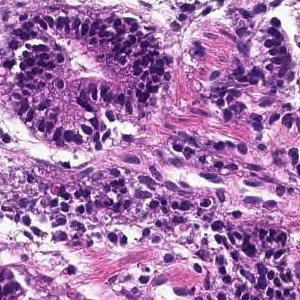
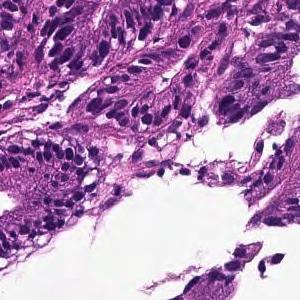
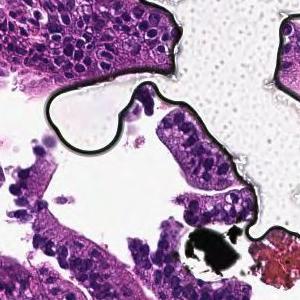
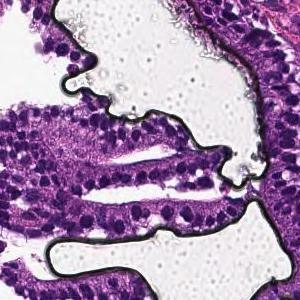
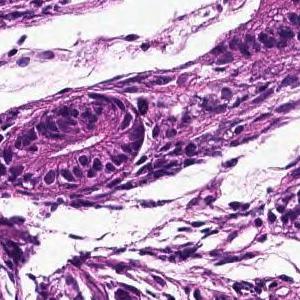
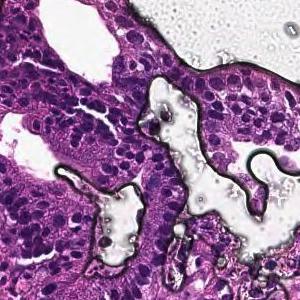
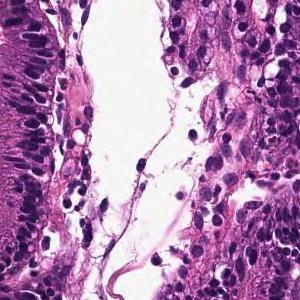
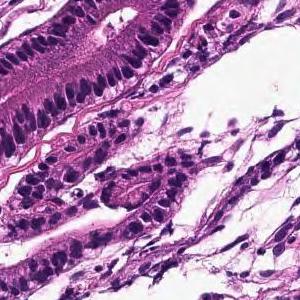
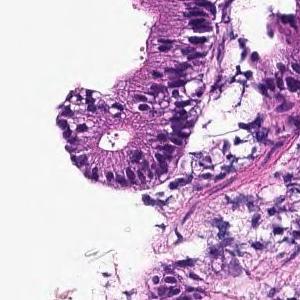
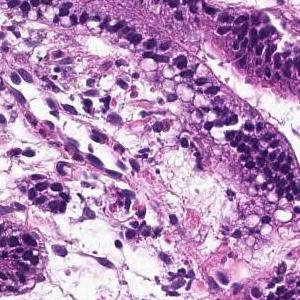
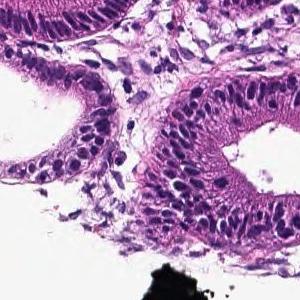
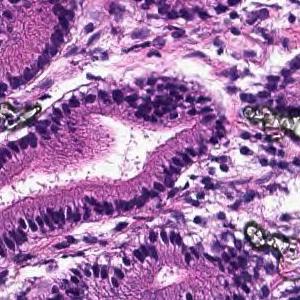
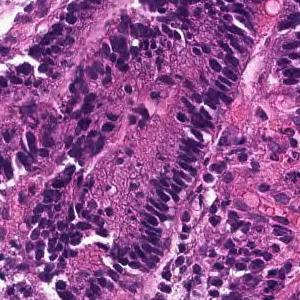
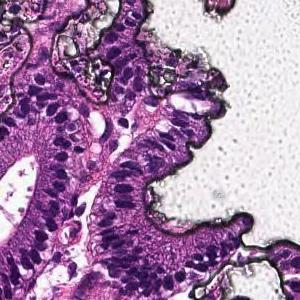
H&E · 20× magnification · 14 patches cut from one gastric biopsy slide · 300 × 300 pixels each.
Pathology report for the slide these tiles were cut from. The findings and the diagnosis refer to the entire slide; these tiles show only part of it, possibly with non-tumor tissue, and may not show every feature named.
On the superficial epithelium, tumor tissue that infiltrates by forming medium-sized round or small irregular ducts is observed. Papillary adenocarcinoma
